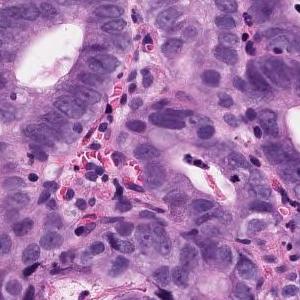
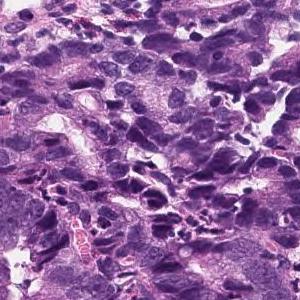
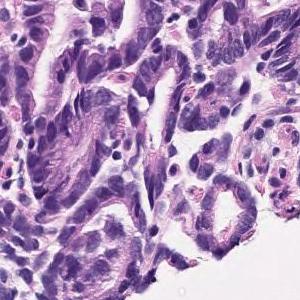
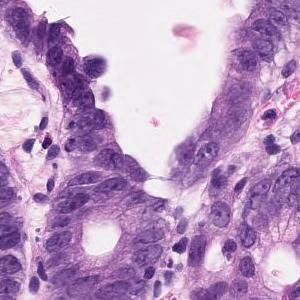
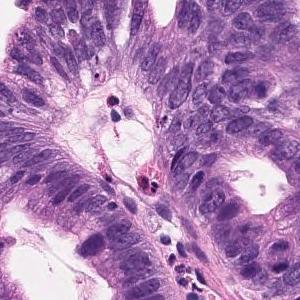
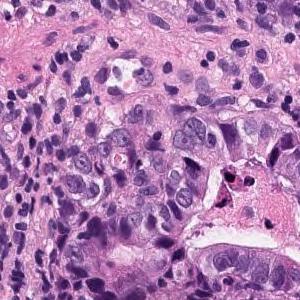
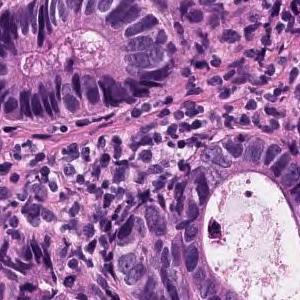
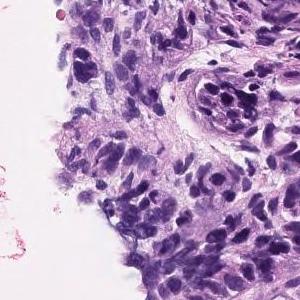
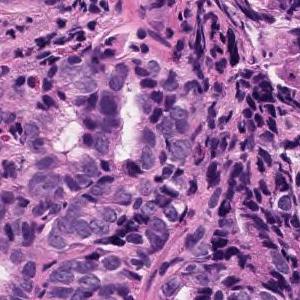
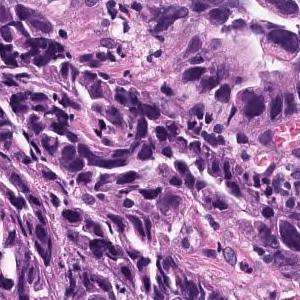
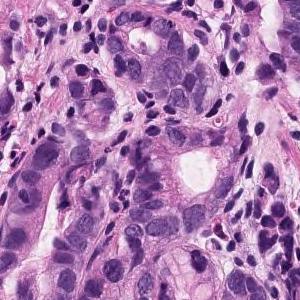
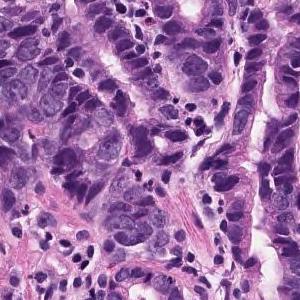
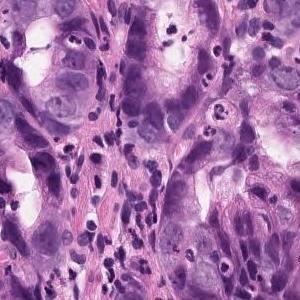
×20; 13 image tiles from a single gastric biopsy slide; each 300 × 300 pixels.
Diagnostic report for the slide these tiles come from. Both the report and the diagnosis are for the whole slide: these tiles need not show every feature named, and some of the tissue shown may not be tumor.
The swollen atypical epithelium of the nucleus forms an irregular ductal structure and proliferates. moderately differentiated tubular adenocarcinoma
